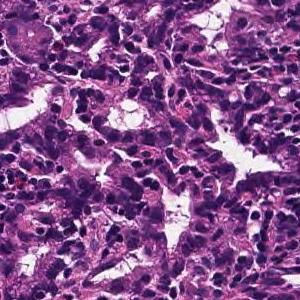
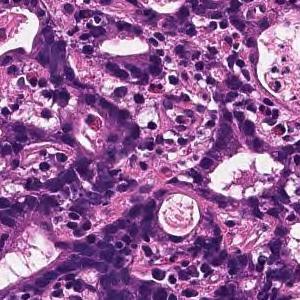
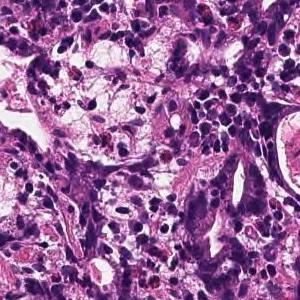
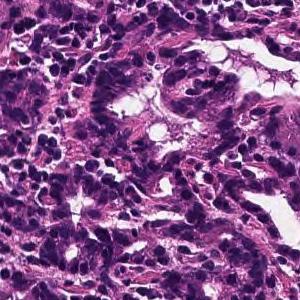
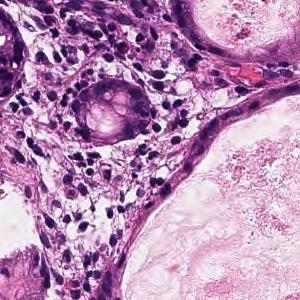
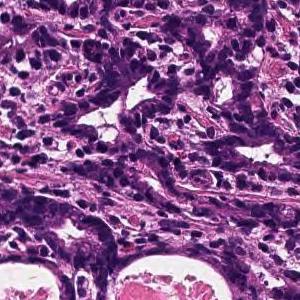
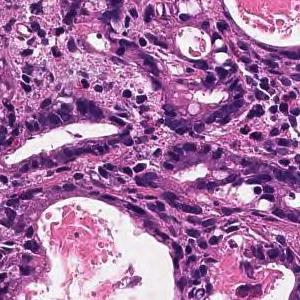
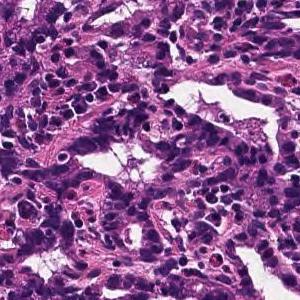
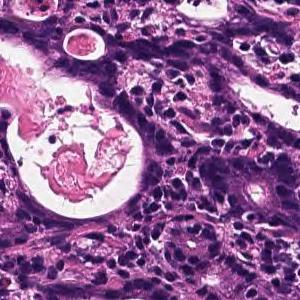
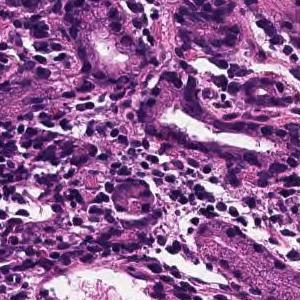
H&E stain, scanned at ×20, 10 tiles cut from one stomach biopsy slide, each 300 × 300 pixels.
Diagnostic report for the slide these tiles come from. The report and the diagnosis cover the entire slide, so not every feature they name need be visible here, and some tissue shown may not be tumor.
On the superficial epithelium, tumor tissue is found in which medium-sized irregular gland ducts fuse with each other and infiltrate. moderately differentiated tubular adenocarcinoma
